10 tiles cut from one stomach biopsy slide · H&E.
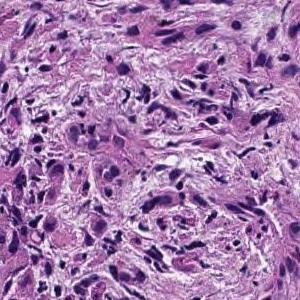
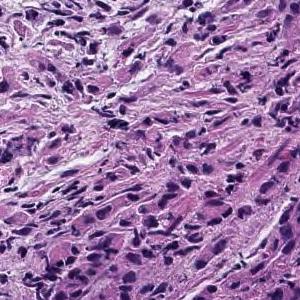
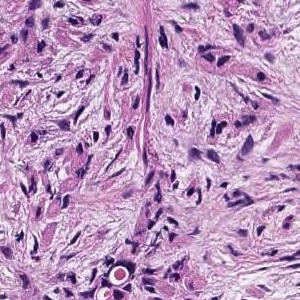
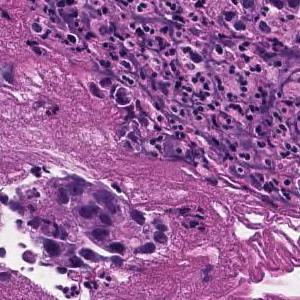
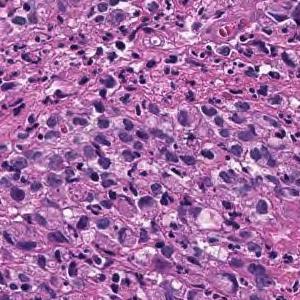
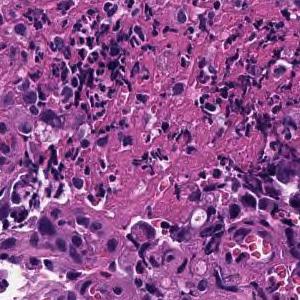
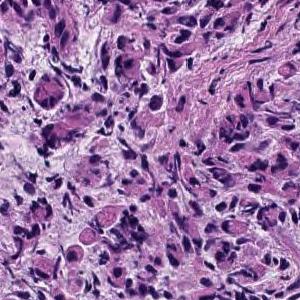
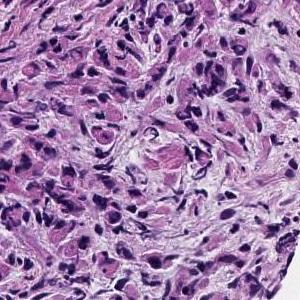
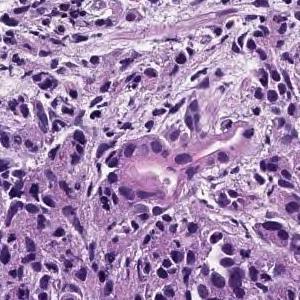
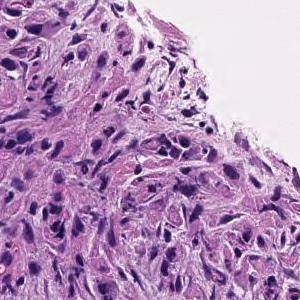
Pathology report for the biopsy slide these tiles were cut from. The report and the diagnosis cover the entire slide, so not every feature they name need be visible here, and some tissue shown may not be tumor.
The superficial epithelium shows a large sheet-like shape, and some tumor tissue infiltrates with small irregular ducts. Poorly differentiated adenocarcinoma, solid-type
Histological subtype: Poorly differentiated adenocarcinoma, solid type (Japanese Classification of Gastric Carcinoma). The WHO 2019 equivalent is tubular adenocarcinoma, poorly differentiated.
